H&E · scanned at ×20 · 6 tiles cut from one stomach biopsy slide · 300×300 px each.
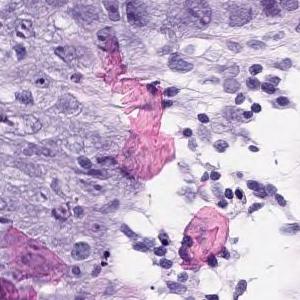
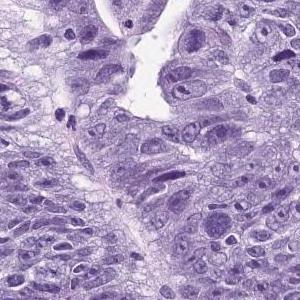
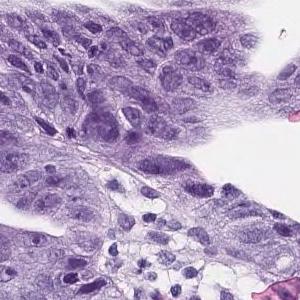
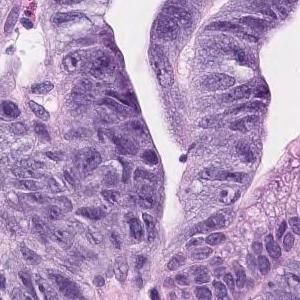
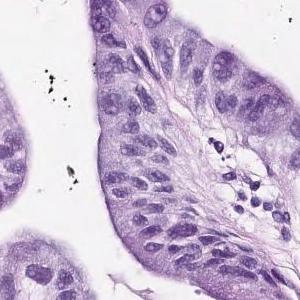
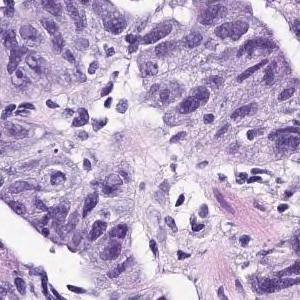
Report on the slide these tiles come from. Both the report and the diagnosis are for the whole slide: these tiles need not show every feature named, and some of the tissue shown may not be tumor.
In the superficial epithelium, tumor tissue that invades by forming medium-sized to small, irregular ducts is observed. Moderately differentiated adenocarcinoma.
Classified as moderately differentiated tubular adenocarcinoma.
